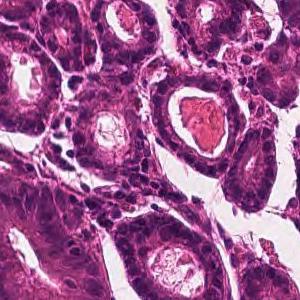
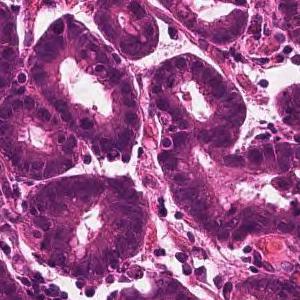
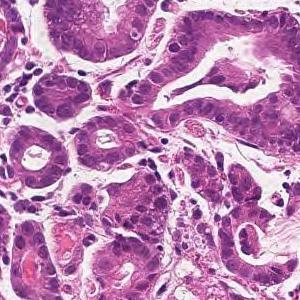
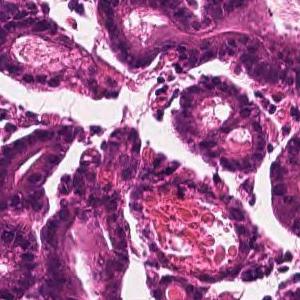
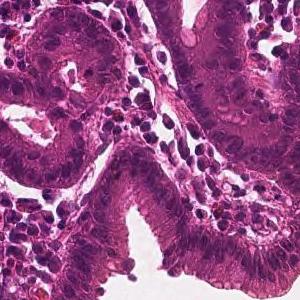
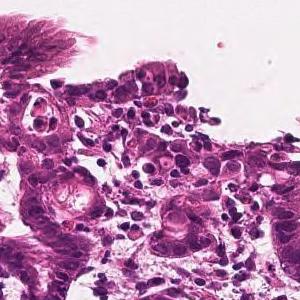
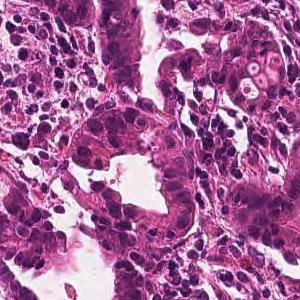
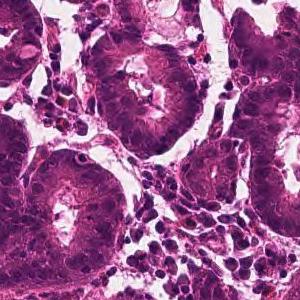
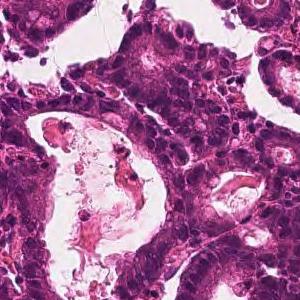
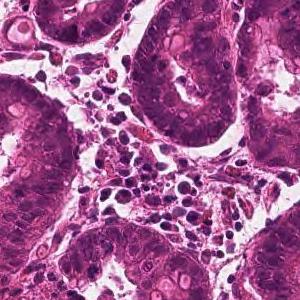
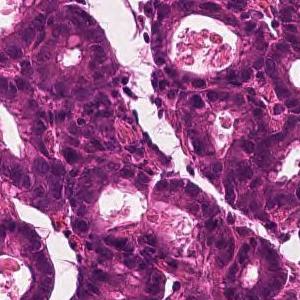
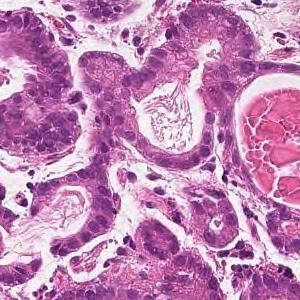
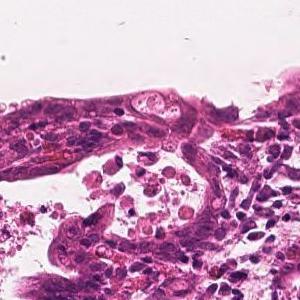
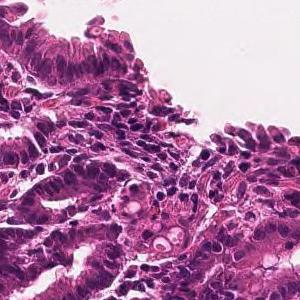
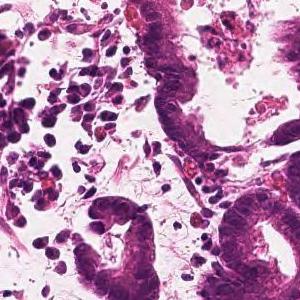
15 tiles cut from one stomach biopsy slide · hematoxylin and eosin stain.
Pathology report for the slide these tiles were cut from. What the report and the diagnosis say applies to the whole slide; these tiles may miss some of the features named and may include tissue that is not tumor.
From the superficial epithelium to the muscularis mucosae, tumor tissue consisting of medium-sized and irregular glandular ducts infiltrating is observed. Well differentiated tubular adenocarcinoma
